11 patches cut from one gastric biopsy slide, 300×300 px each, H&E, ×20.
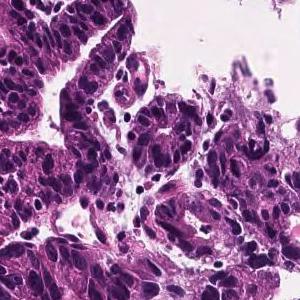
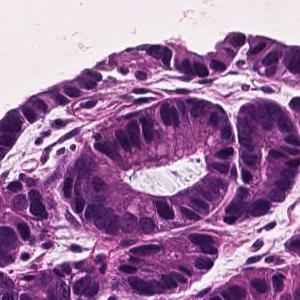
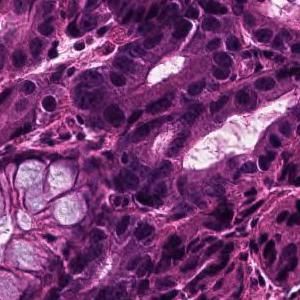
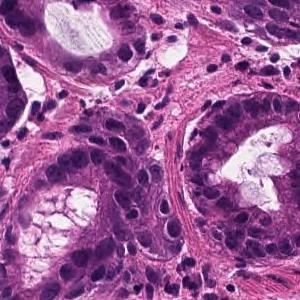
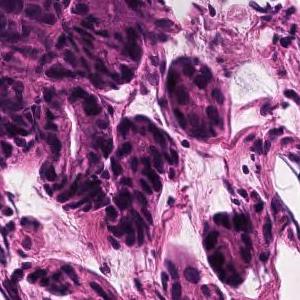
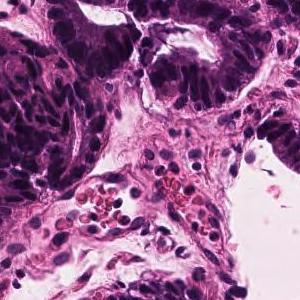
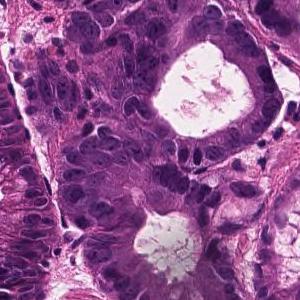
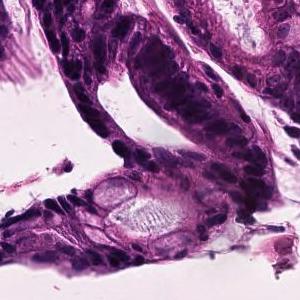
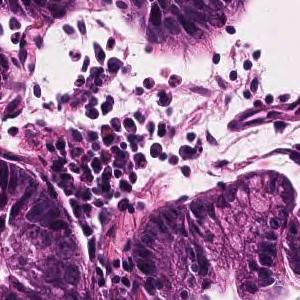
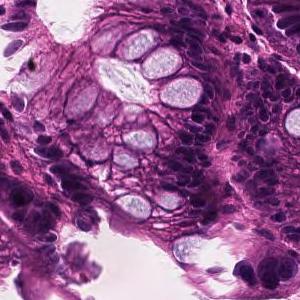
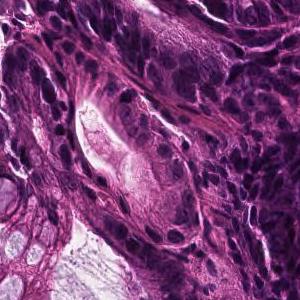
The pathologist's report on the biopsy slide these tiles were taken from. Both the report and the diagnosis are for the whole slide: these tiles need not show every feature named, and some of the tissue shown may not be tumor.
In the superficial epithelium, tumor tissue that invades by forming medium-sized to small, irregular ducts is observed. Well differentiated tubular adenocarcinoma.
